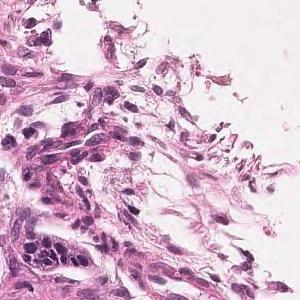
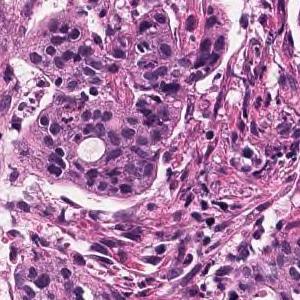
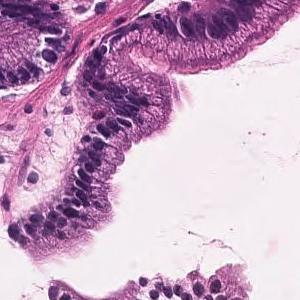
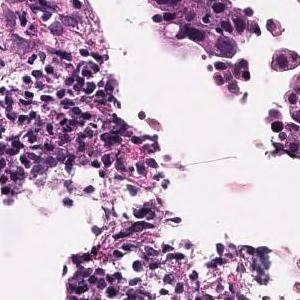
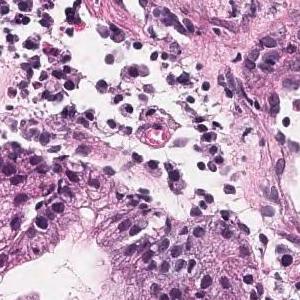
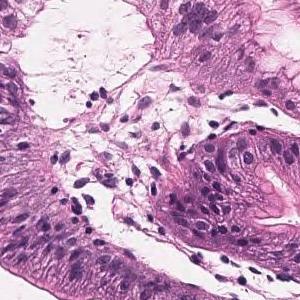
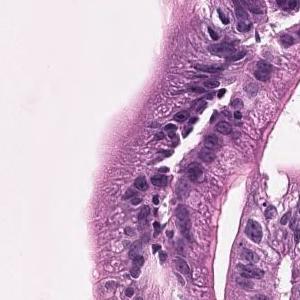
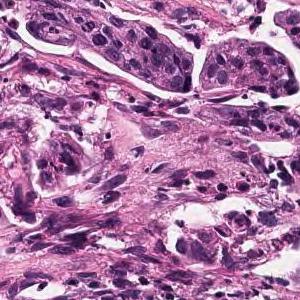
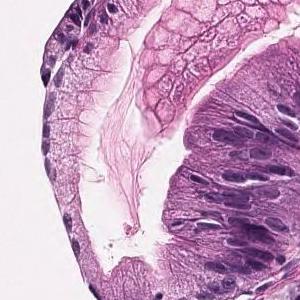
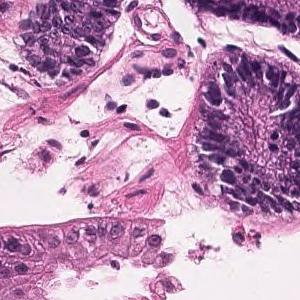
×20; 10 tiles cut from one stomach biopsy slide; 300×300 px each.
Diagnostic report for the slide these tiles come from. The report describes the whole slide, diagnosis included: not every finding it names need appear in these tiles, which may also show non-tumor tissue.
Tumor tissue that grows invasively while the short atypical epithelium forms small ducts is observed. moderately differentiated tubular adenocarcinoma
